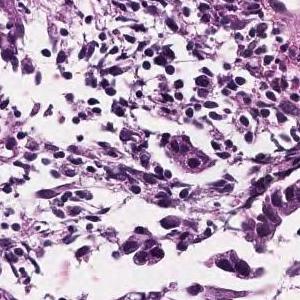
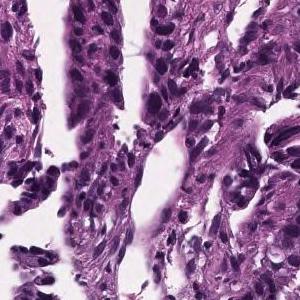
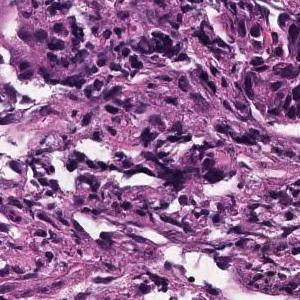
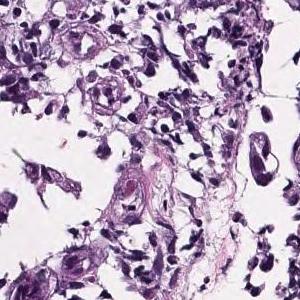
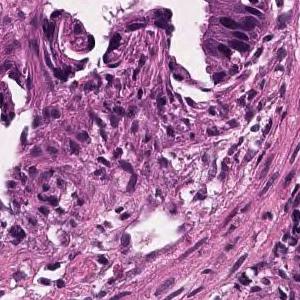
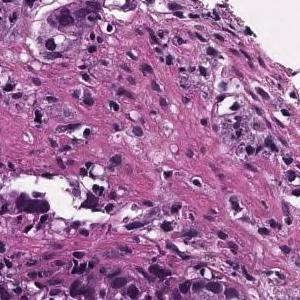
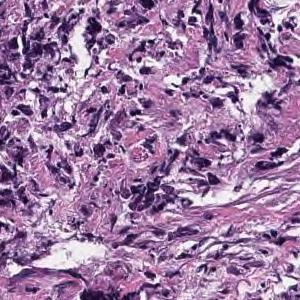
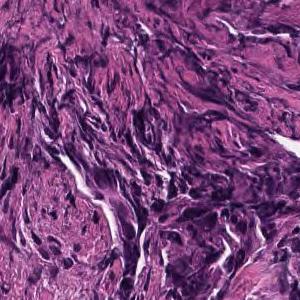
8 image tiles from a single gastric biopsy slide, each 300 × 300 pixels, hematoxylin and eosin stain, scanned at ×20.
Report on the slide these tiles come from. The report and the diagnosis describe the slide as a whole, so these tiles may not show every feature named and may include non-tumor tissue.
In the superficial epithelium, tumor tissue that invades by forming medium-sized to small, irregular ducts is observed. moderately differentiated tubular adenocarcinoma.
